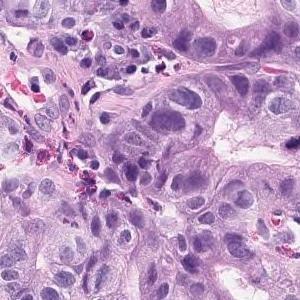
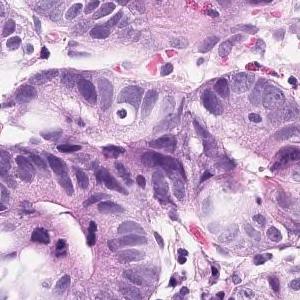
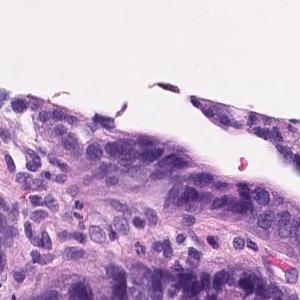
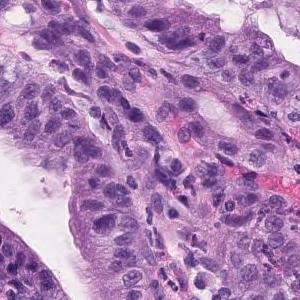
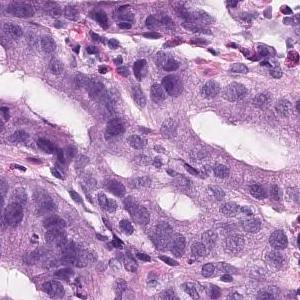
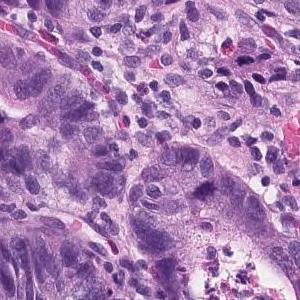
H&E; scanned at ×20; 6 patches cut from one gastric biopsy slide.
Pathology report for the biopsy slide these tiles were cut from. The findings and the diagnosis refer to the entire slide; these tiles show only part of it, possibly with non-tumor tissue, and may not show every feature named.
On the superficial epithelium, tumor tissue consisting of medium-sized to large-sized, round or irregular glandular duct growth images is observed. Well differentiated adenocarcinoma.
Subtype: Well differentiated tubular adenocarcinoma.
